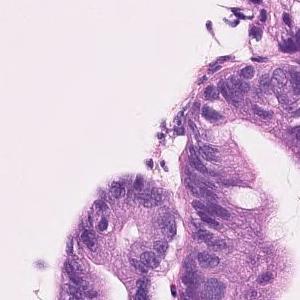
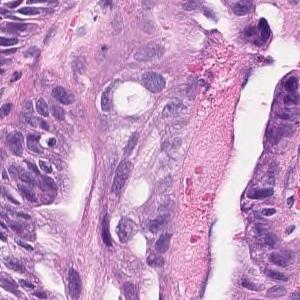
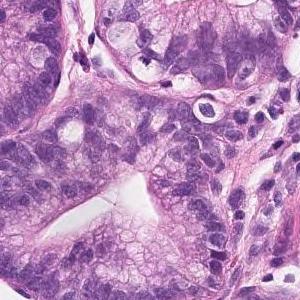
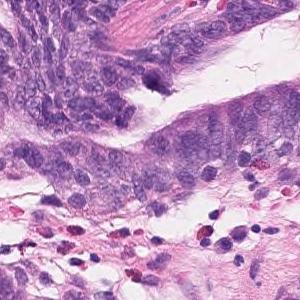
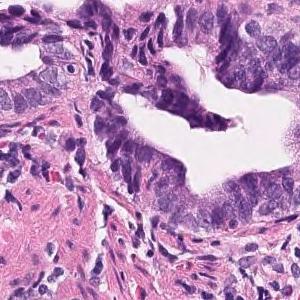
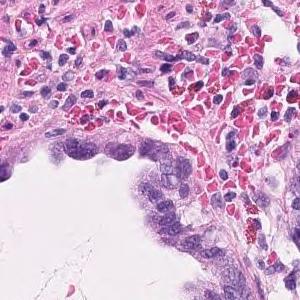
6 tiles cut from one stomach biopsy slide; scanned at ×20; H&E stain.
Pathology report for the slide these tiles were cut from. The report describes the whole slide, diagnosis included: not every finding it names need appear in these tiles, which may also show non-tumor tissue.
Tumor cells are large, highly columnar, large club-shaped nuclei, and are associated with chromatin aggregation. Papillary adenocarcinoma.
